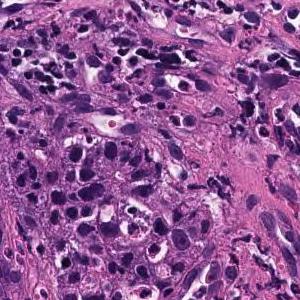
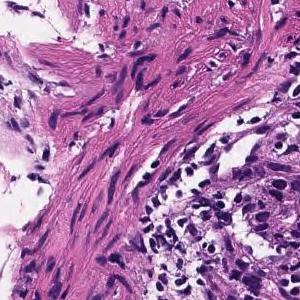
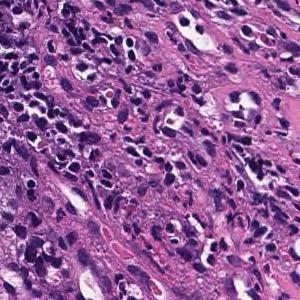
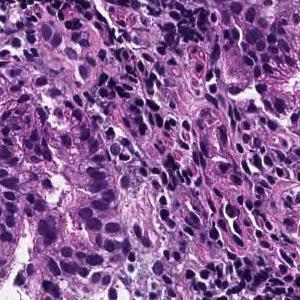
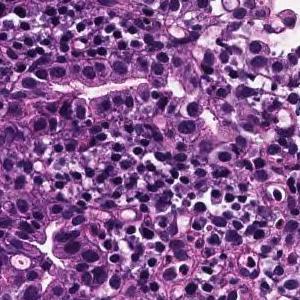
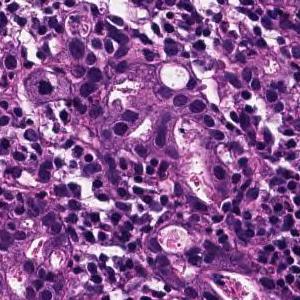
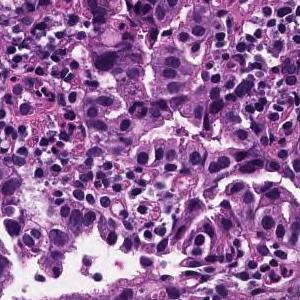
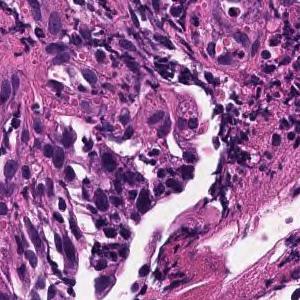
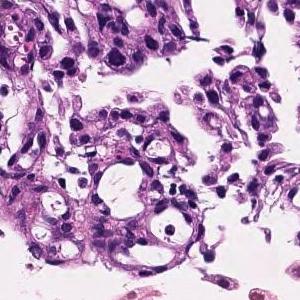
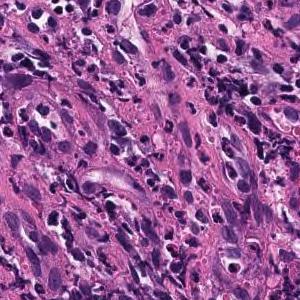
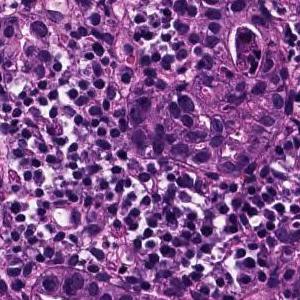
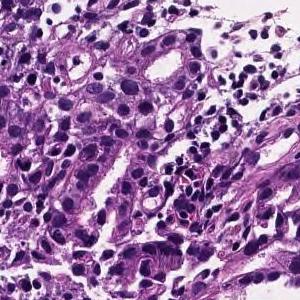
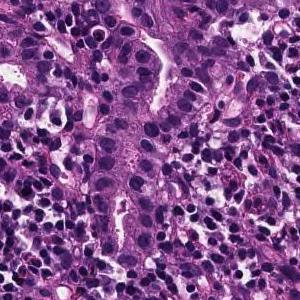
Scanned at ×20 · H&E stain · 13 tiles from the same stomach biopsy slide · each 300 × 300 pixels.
Report on the slide these tiles come from. The report and the diagnosis describe the slide as a whole, so these tiles may not show every feature named and may include non-tumor tissue.
Medium to small, irregular glandular ducts are formed in the superficial epithelium, and in some cases, the glandular ducts are fused to show solid alveolar lesions and infiltrating tumor tissue is observed. Moderately to poorly differentiated adenocarcinoma.
